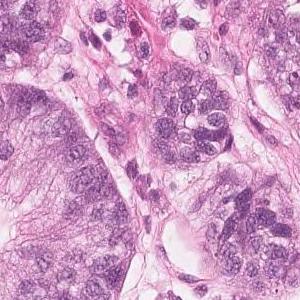
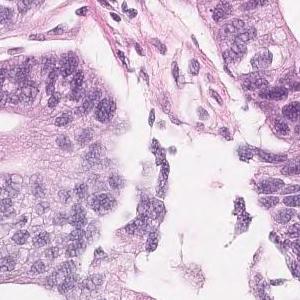
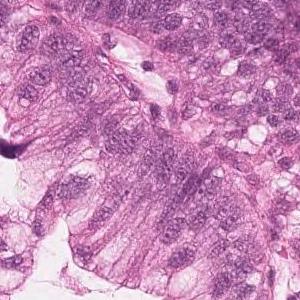
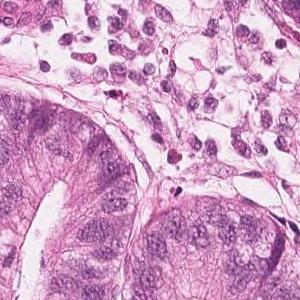
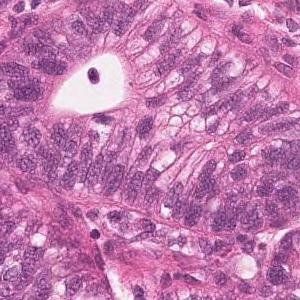
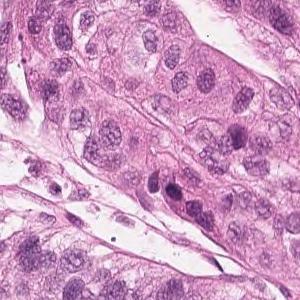
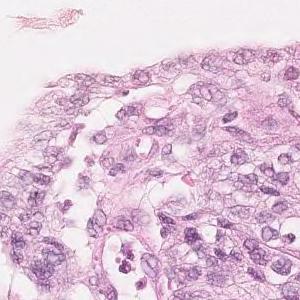
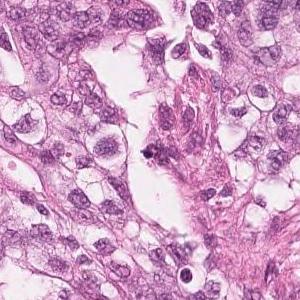
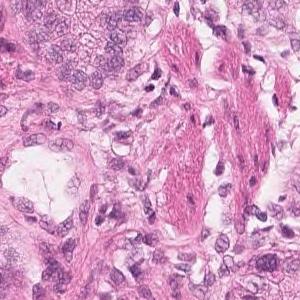
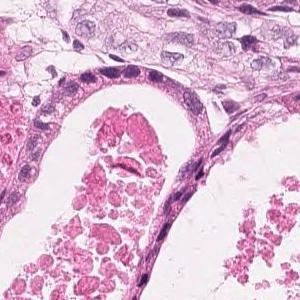
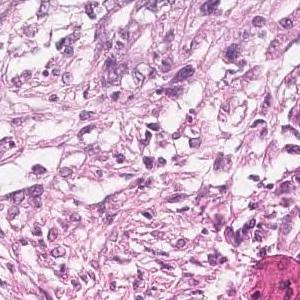
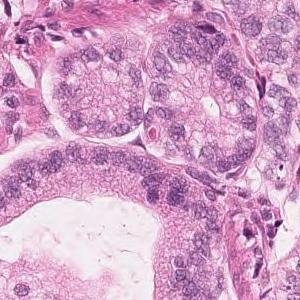
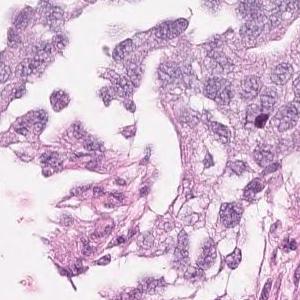
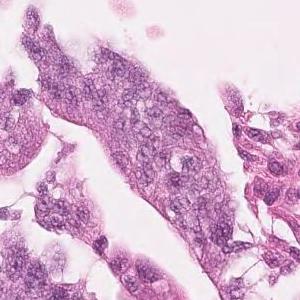
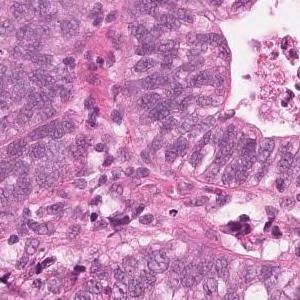
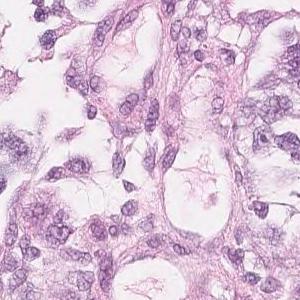
16 tiles cut from one stomach biopsy slide; scanned at ×20; H&E stain.
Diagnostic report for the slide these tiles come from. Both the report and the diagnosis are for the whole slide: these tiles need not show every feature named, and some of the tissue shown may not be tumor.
Highly columnar epithelium with disordered nuclear localization proliferates showing fusion ductal construction. moderately differentiated tubular adenocarcinoma
